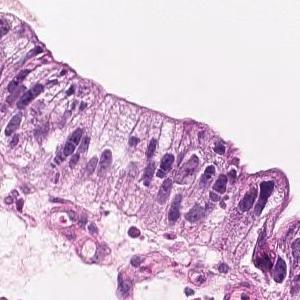
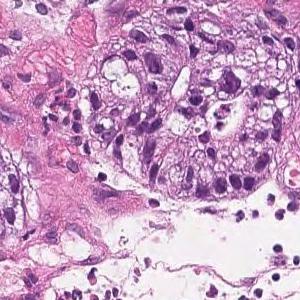
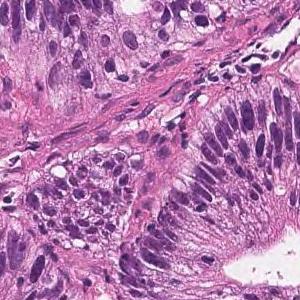
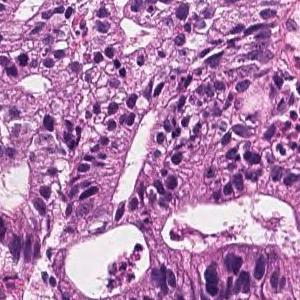
Hematoxylin and eosin stain; ×20; 4 patches cut from one gastric biopsy slide; each 300 × 300 pixels.
Pathology report for the biopsy slide these tiles were cut from. The findings and the diagnosis refer to the entire slide; these tiles show only part of it, possibly with non-tumor tissue, and may not show every feature named.
On the superficial epithelium, tumor tissue that infiltrates by forming medium-sized papillary or small irregular ducts is observed. Papillary adenocarcinoma
